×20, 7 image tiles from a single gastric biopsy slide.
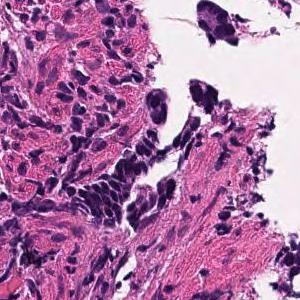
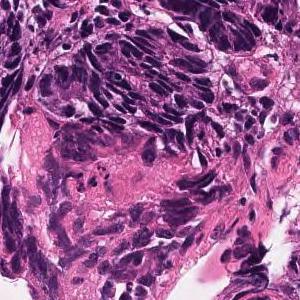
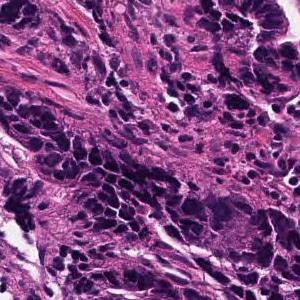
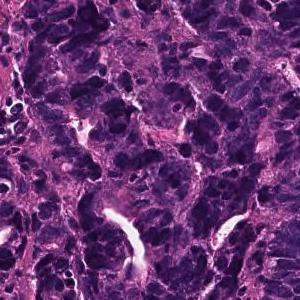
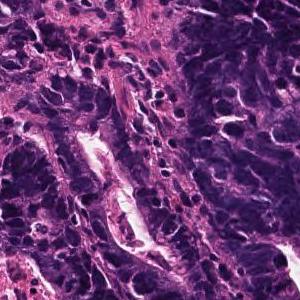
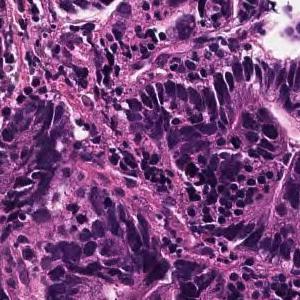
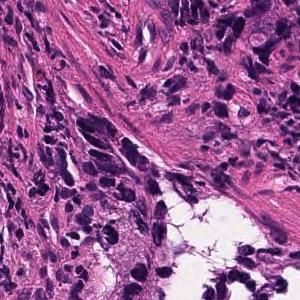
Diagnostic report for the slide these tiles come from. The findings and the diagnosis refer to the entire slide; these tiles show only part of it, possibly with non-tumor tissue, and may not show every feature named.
Large and small irregular small glandular ducts forming and infiltrating. moderately differentiated tubular adenocarcinoma
